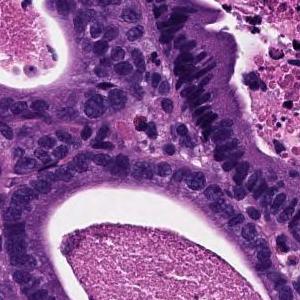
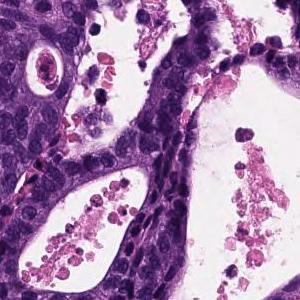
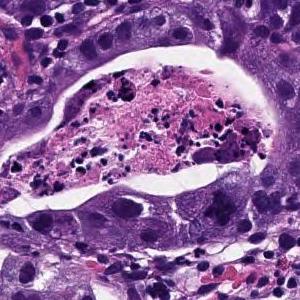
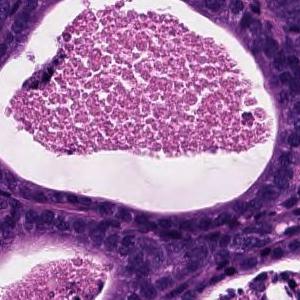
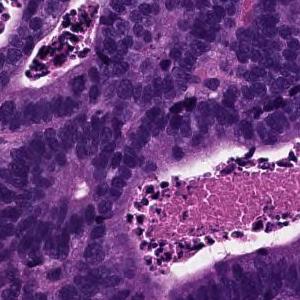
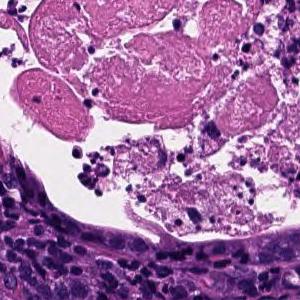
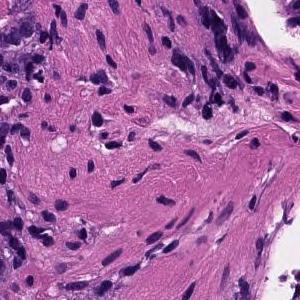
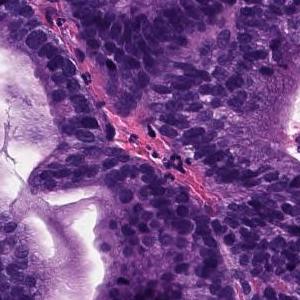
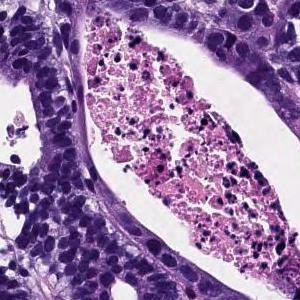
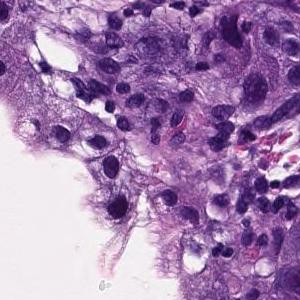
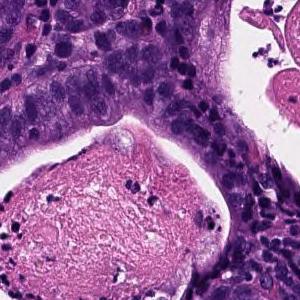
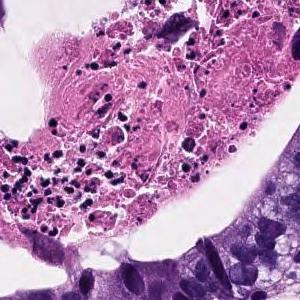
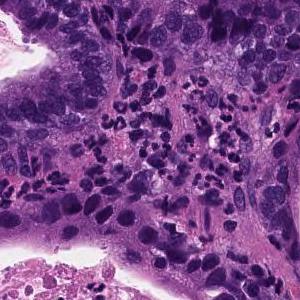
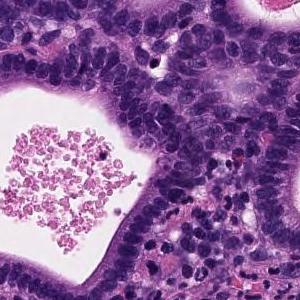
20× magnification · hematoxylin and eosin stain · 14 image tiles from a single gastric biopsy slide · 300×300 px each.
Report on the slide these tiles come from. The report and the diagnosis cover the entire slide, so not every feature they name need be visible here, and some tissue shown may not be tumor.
From the superficial epithelium to the muscularis mucosae, tumor tissue consisting of medium-sized and irregular glandular ducts infiltrating is observed. Well differentiated tubular adenocarcinoma
